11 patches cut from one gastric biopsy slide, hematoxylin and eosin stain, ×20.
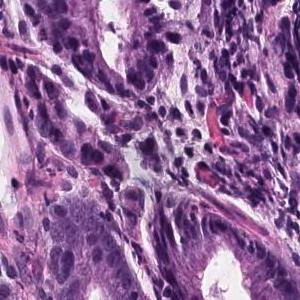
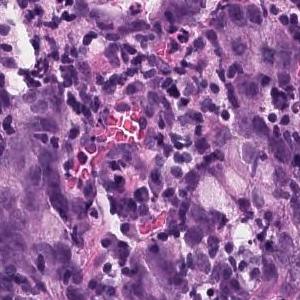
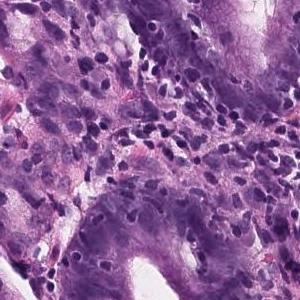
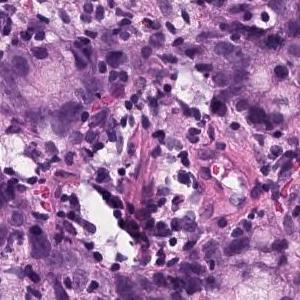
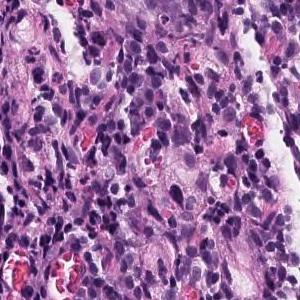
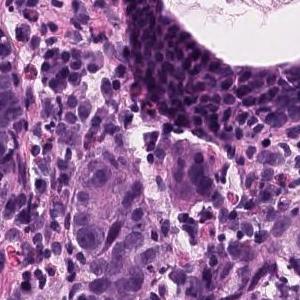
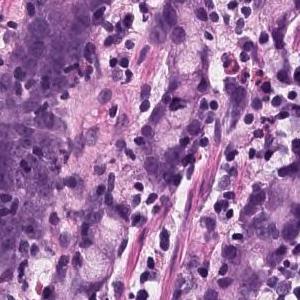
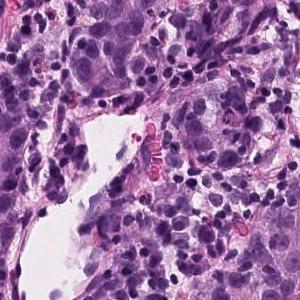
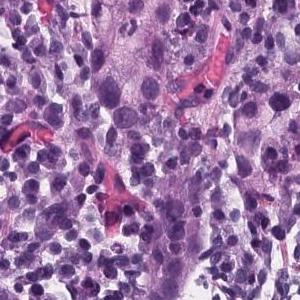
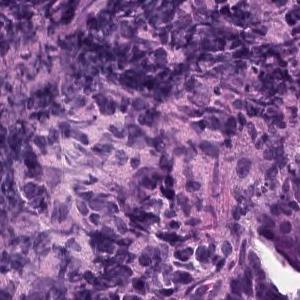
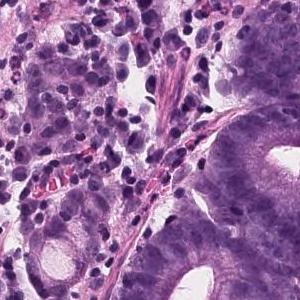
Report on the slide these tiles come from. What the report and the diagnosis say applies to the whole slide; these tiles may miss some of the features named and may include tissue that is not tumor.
In the superficial epithelium, tumor tissue that invades by forming medium-sized to small, irregular ducts is observed. Moderately differentiated adenocarcinoma.
Histological subtype: Moderately differentiated tubular adenocarcinoma.
